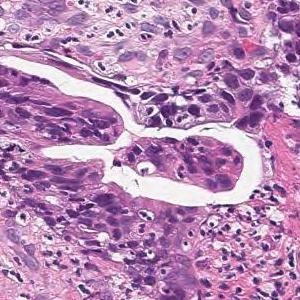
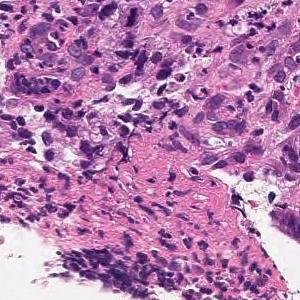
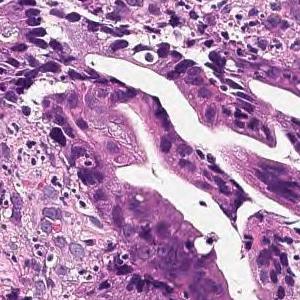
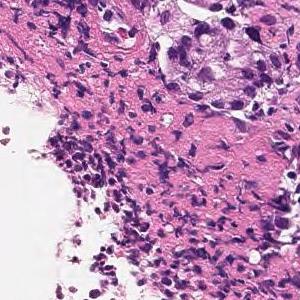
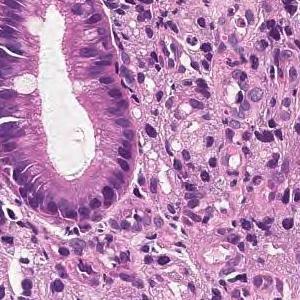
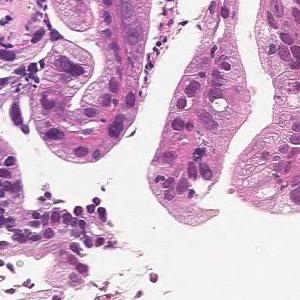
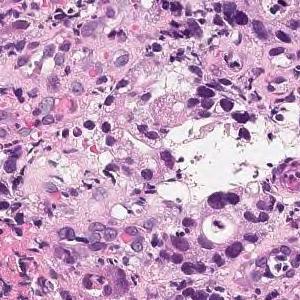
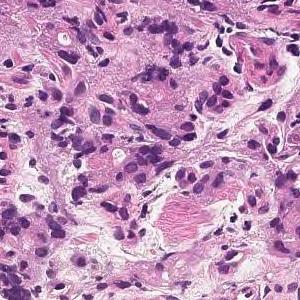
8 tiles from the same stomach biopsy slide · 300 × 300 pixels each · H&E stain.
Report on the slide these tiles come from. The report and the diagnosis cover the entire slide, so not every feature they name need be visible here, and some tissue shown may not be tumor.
In the superficial epithelium, medium to small irregular gland ducts are formed, and in some cases, the ducts are fused to show solid alveolar lesions and infiltrating tumor tissue is observed. moderately differentiated tubular adenocarcinoma or poorly differentiated adenocarcinoma, solid-type (poorly differentiated adenocarcinoma, solid type)
Dataset label: poorly differentiated adenocarcinoma, solid type (Japanese Classification of Gastric Carcinoma). The WHO 2019 equivalent is tubular adenocarcinoma, poorly differentiated.
